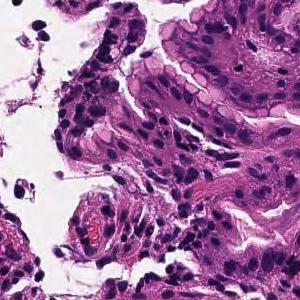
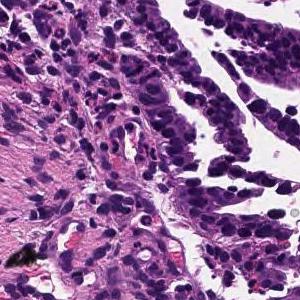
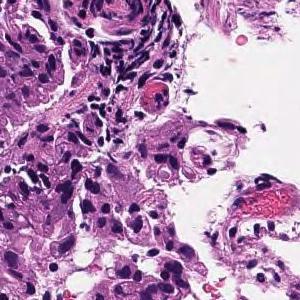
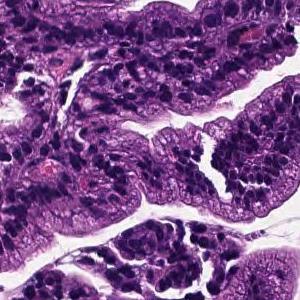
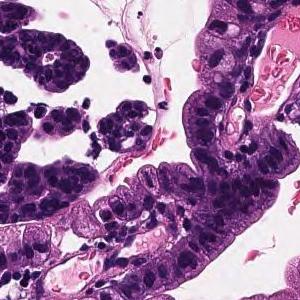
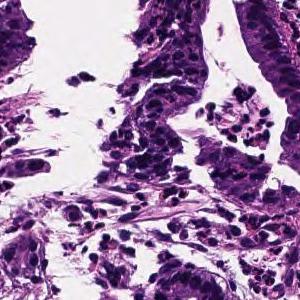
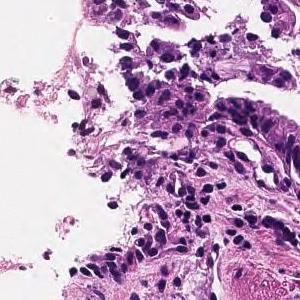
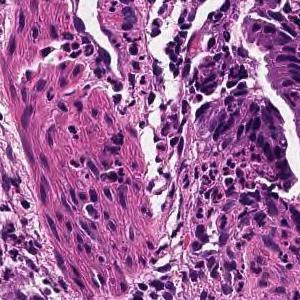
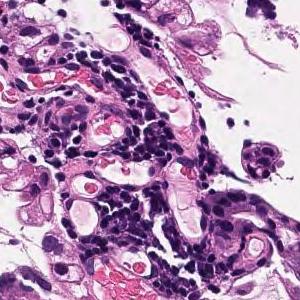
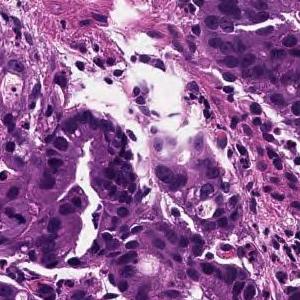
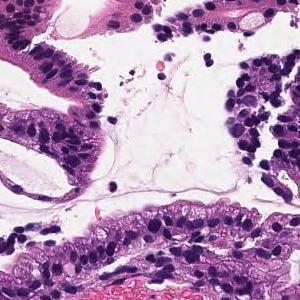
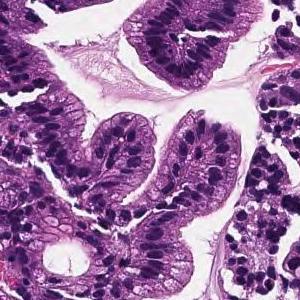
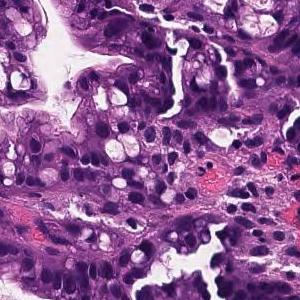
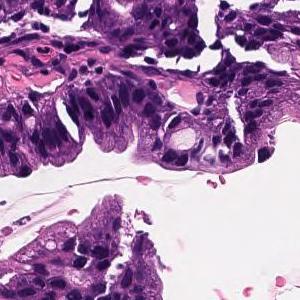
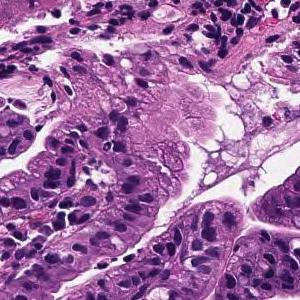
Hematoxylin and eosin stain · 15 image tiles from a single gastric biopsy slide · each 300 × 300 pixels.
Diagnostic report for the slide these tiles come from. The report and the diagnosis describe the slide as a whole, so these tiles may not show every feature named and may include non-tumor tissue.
On the superficial epithelium, tumor tissue that infiltrates by forming medium-sized papillary or small irregular ducts is observed. Papillary adenocarcinoma
